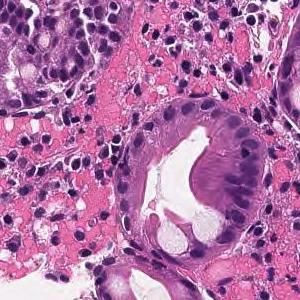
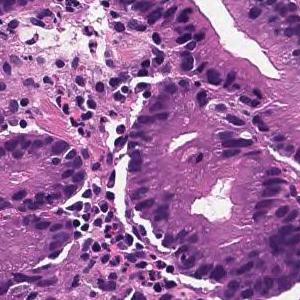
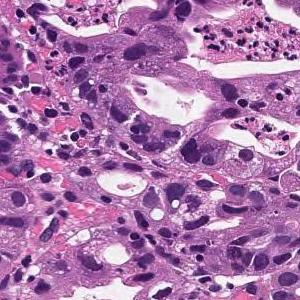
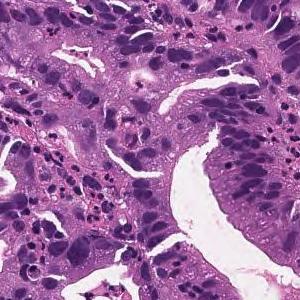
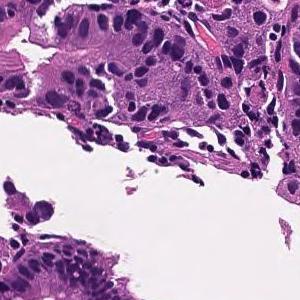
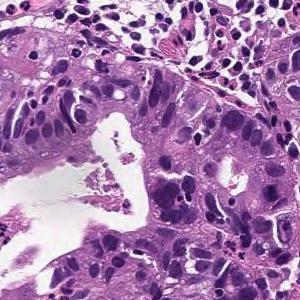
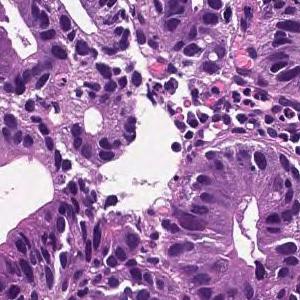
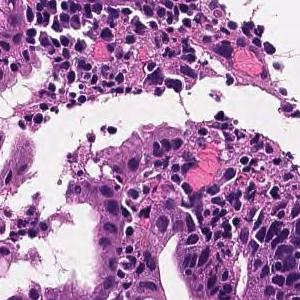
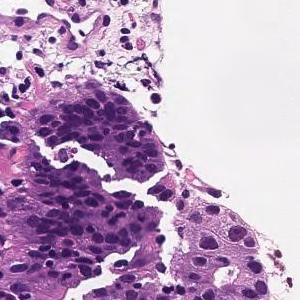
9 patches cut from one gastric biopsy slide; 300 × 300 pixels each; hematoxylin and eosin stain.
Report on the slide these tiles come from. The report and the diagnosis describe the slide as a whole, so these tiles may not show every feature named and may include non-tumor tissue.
From the superficial epithelium to the muscularis mucosae, tumor tissue consisting of medium-sized and irregular glandular ducts infiltrating is observed. Well differentiated tubular adenocarcinoma
